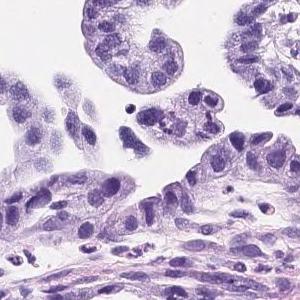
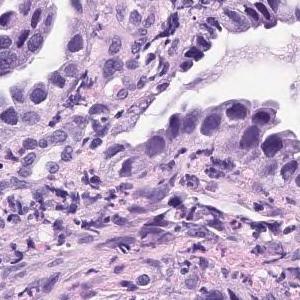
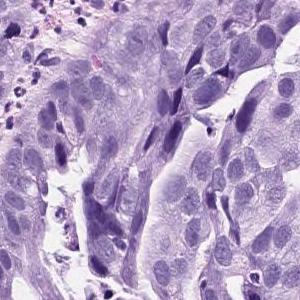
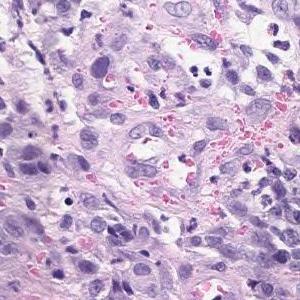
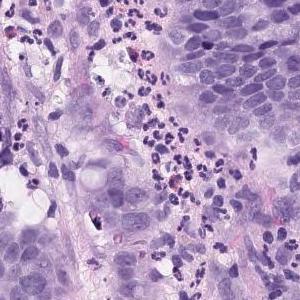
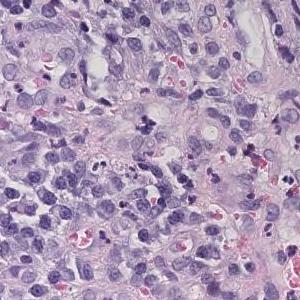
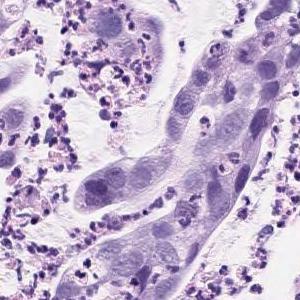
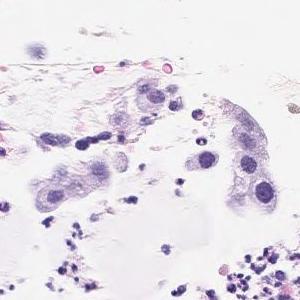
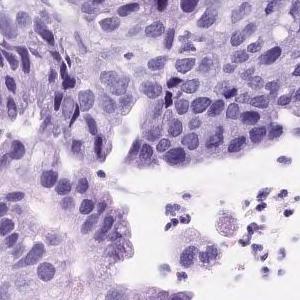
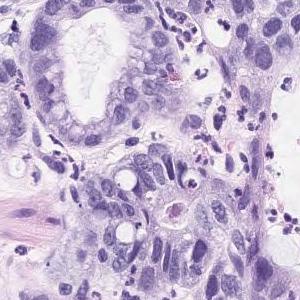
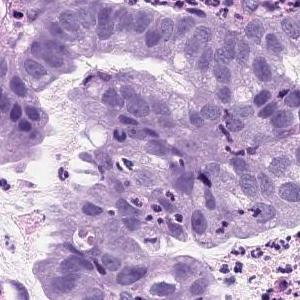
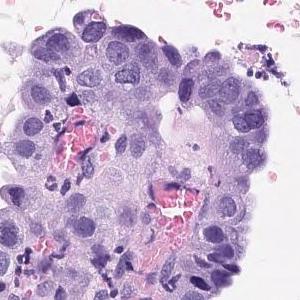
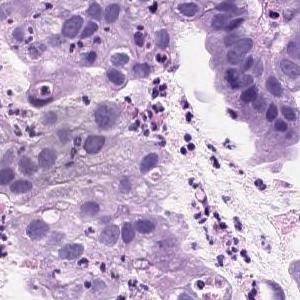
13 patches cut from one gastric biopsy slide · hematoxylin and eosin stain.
The pathologist's report on the biopsy slide these tiles were taken from. Both the report and the diagnosis are for the whole slide: these tiles need not show every feature named, and some of the tissue shown may not be tumor.
Atypical l cells with atypical nuclei forming solid or diffuse vesicles or small irregular atypical ducts and growing in a complex manner. Well differentiated tubular adenocarcinoma
